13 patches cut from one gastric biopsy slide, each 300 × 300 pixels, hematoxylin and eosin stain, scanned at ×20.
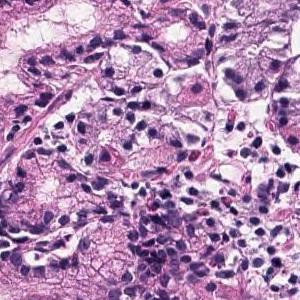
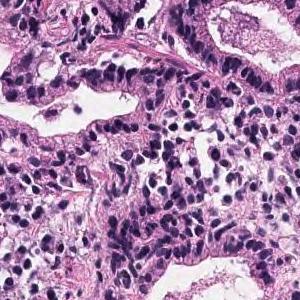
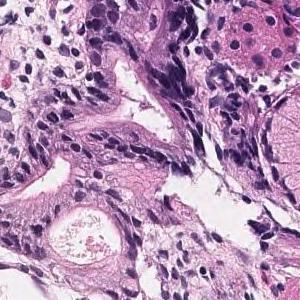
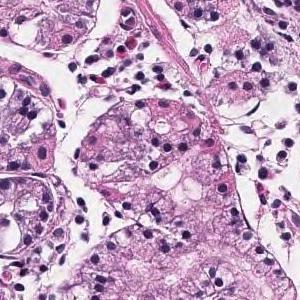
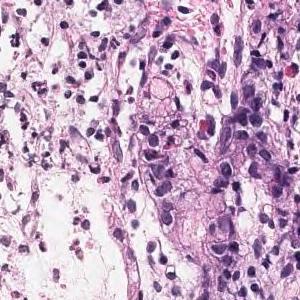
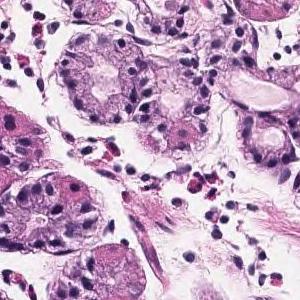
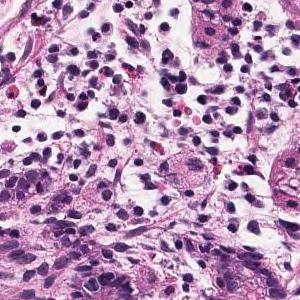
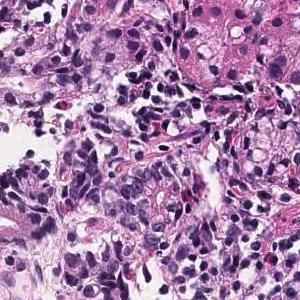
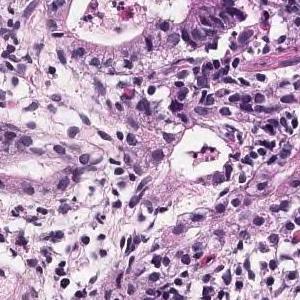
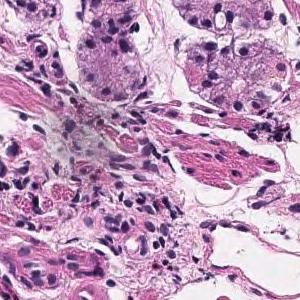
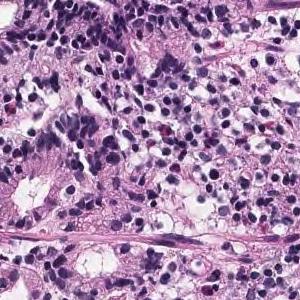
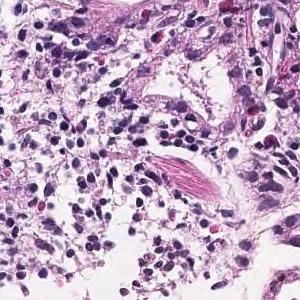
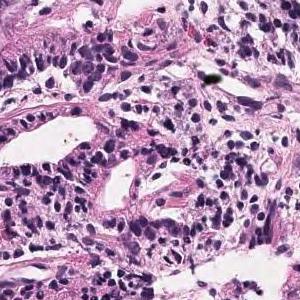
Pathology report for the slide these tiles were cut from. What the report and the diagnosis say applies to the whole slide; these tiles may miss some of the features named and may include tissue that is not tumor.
Tumor tissue that grows and grows is observed, showing a medium-sized round or irregular duct. moderately differentiated tubular adenocarcinoma
